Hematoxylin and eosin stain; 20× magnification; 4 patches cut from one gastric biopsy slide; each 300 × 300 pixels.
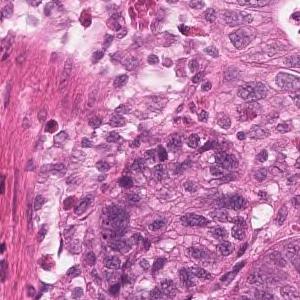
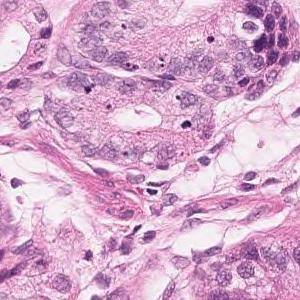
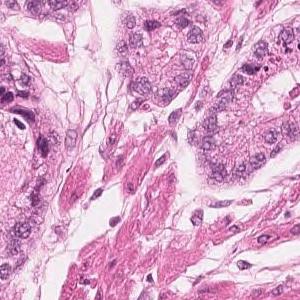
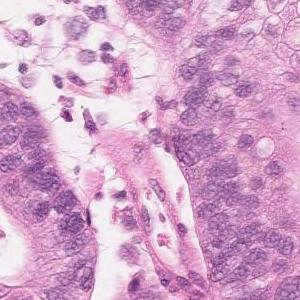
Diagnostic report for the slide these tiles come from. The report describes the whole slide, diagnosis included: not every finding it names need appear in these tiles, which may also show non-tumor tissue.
Highly columnar epithelium with disordered nuclear localization proliferates showing fusion ductal construction. moderately differentiated tubular adenocarcinoma
